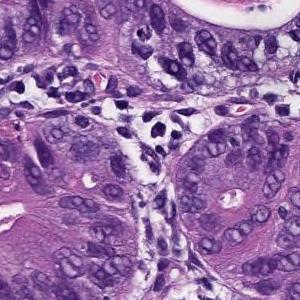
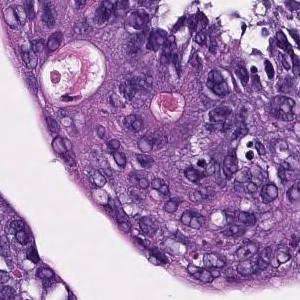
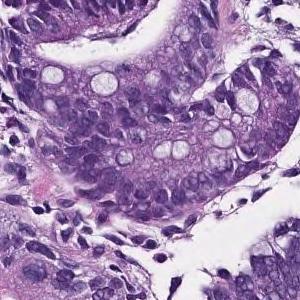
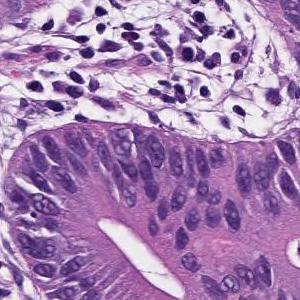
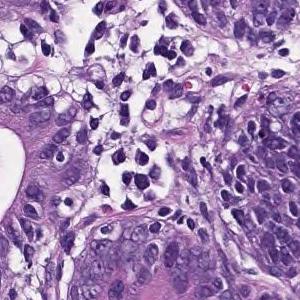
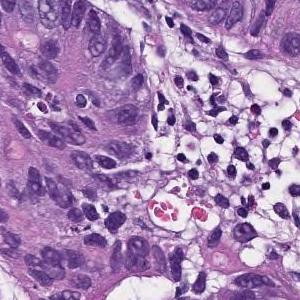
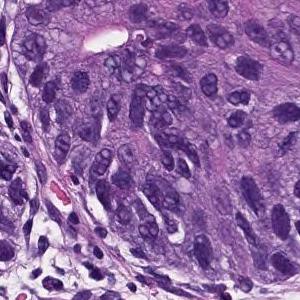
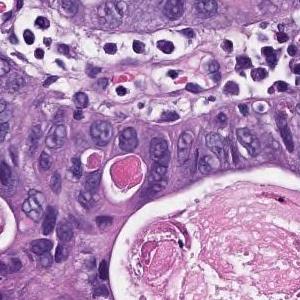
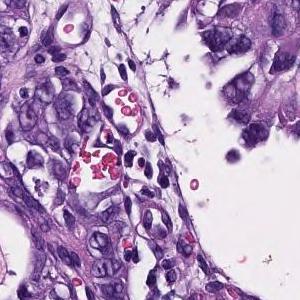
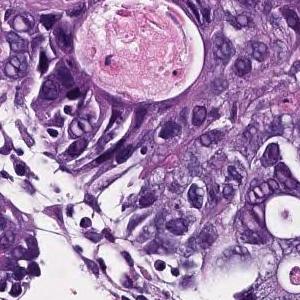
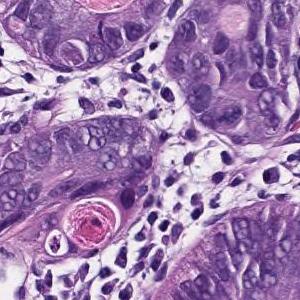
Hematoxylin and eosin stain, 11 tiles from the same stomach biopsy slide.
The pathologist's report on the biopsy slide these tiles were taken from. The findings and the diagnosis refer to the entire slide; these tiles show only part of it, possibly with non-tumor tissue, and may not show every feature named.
In the superficial epithelium, tumor tissue that invades by forming medium-sized to small, irregular ducts is observed. moderately differentiated tubular adenocarcinoma.
